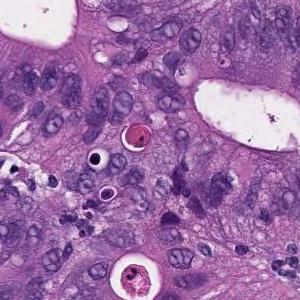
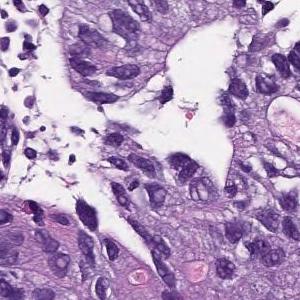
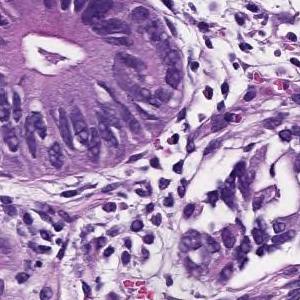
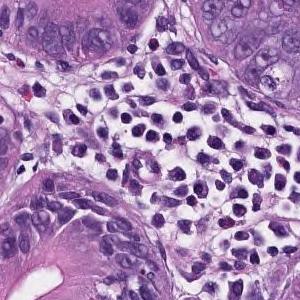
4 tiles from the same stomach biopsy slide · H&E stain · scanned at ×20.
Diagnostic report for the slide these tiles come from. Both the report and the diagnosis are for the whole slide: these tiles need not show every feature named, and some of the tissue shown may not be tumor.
In the superficial epithelium, tumor tissue that invades by forming medium-sized to small, irregular ducts is observed. moderately differentiated tubular adenocarcinoma.
